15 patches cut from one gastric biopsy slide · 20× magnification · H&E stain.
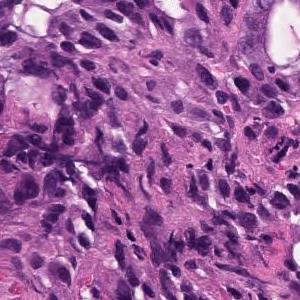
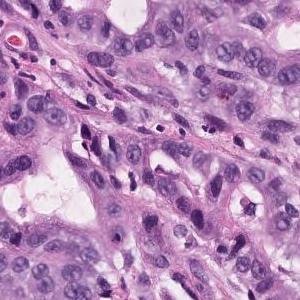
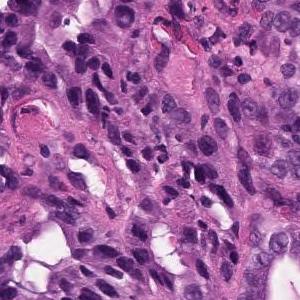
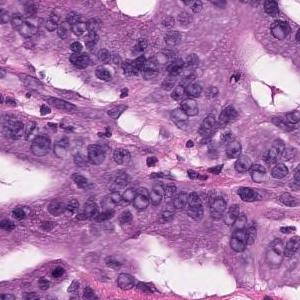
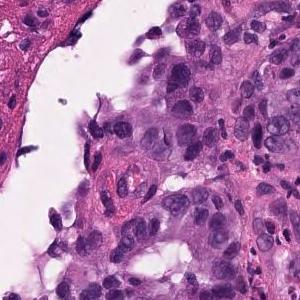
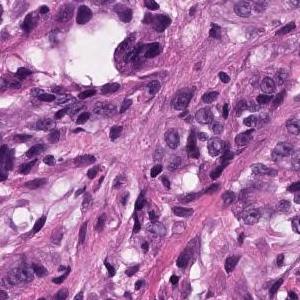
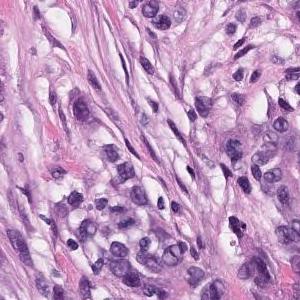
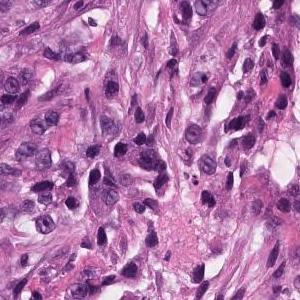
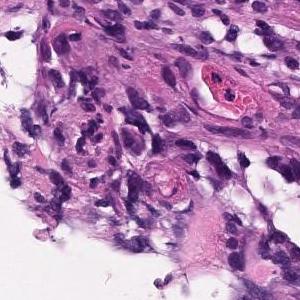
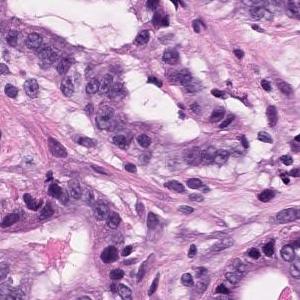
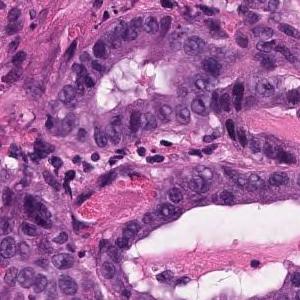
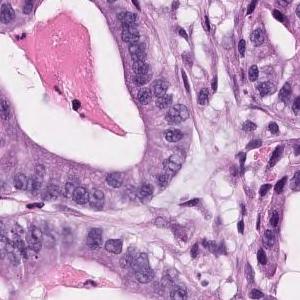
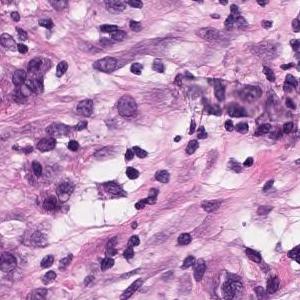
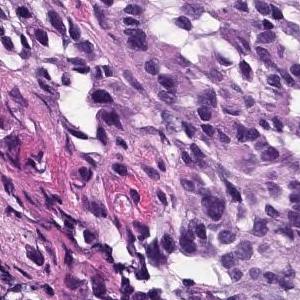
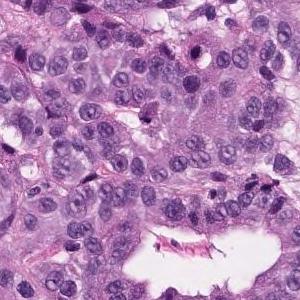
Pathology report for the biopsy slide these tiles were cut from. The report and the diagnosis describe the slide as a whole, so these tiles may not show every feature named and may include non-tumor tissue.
In the superficial epithelium, tumor tissue that invades by forming medium-sized to small, irregular ducts is observed. Moderately differentiated adenocarcinoma.
Subtype: Moderately differentiated tubular adenocarcinoma.
